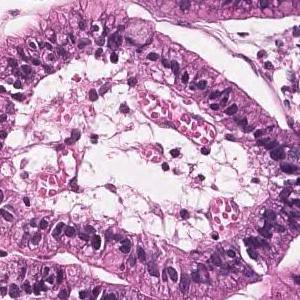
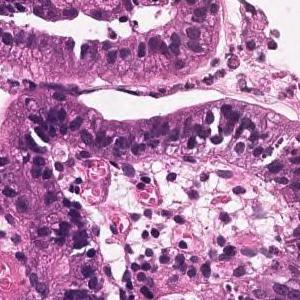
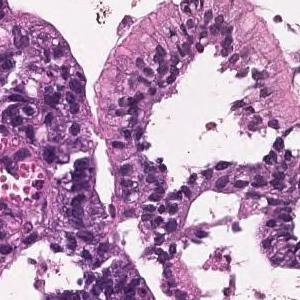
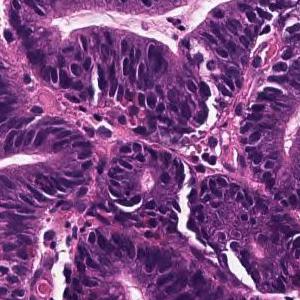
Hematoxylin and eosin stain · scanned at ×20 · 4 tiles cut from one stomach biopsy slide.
Report on the slide these tiles come from. The findings and the diagnosis refer to the entire slide; these tiles show only part of it, possibly with non-tumor tissue, and may not show every feature named.
On the superficial epithelium, tumor tissue that infiltrates by forming medium-sized papillary or small irregular ducts is observed. Papillary adenocarcinoma
